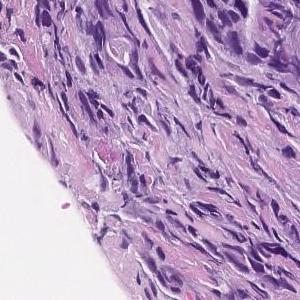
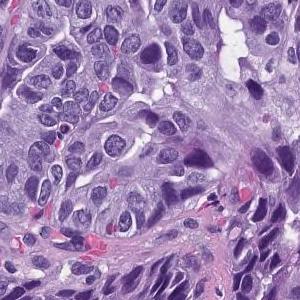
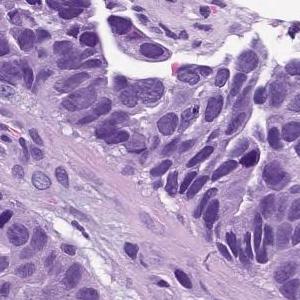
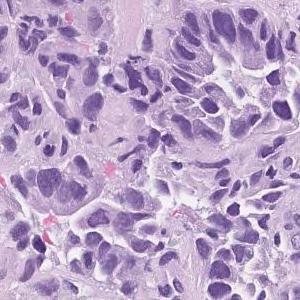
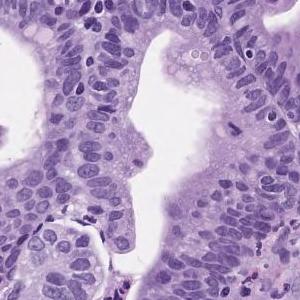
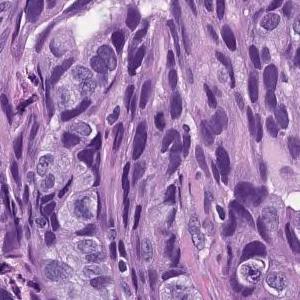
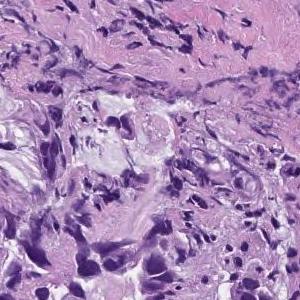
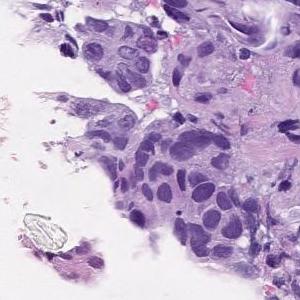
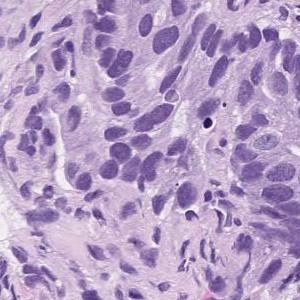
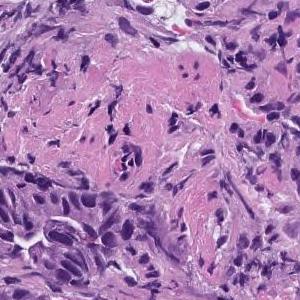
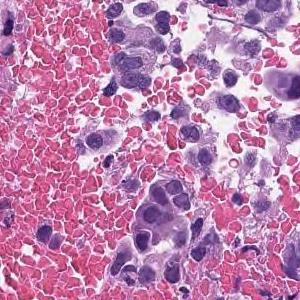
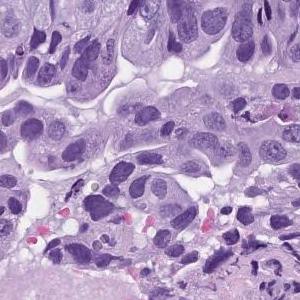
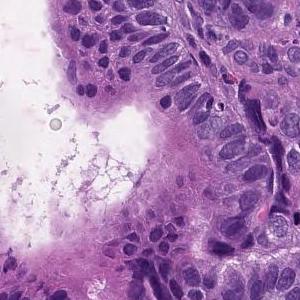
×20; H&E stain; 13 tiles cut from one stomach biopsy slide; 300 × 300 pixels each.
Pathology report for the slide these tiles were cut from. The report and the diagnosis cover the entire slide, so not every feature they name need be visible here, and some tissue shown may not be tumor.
In the superficial epithelium, tumor tissue that invades by forming medium-sized to small, irregular ducts is observed. moderately differentiated tubular adenocarcinoma.
